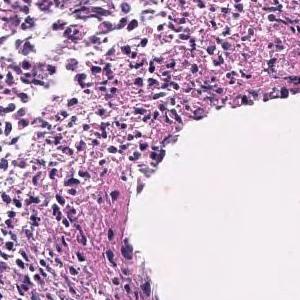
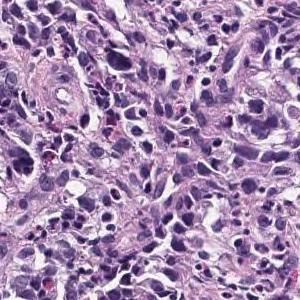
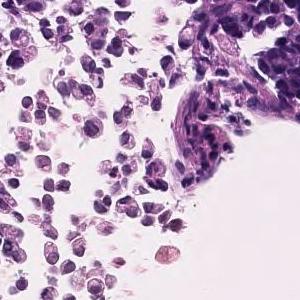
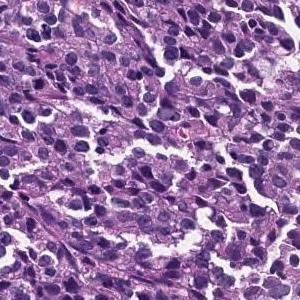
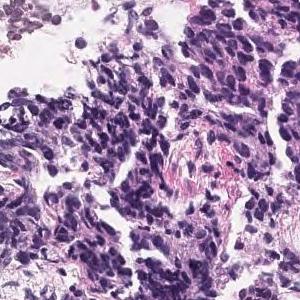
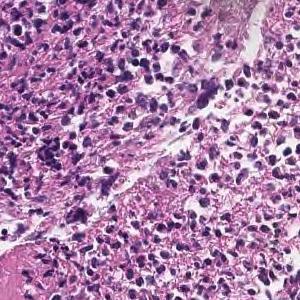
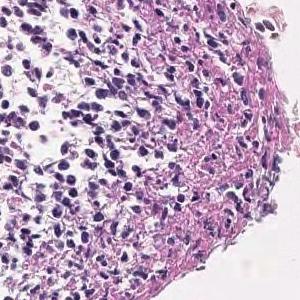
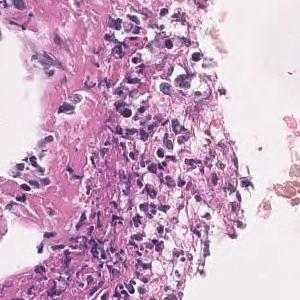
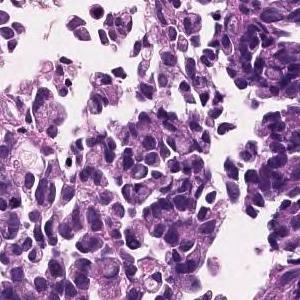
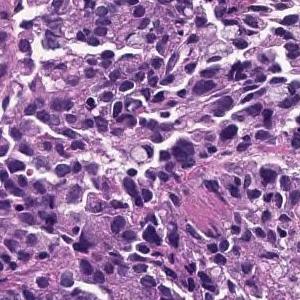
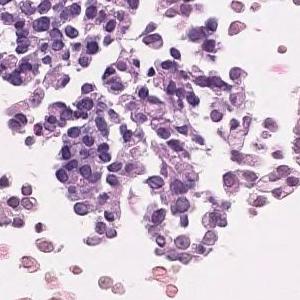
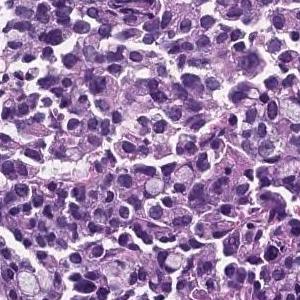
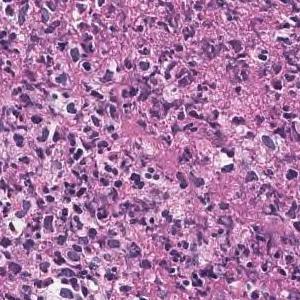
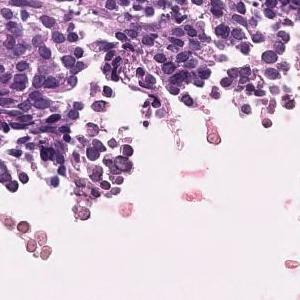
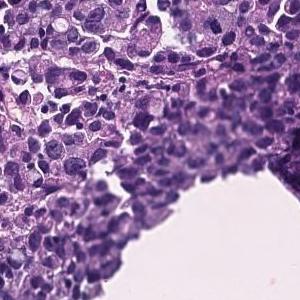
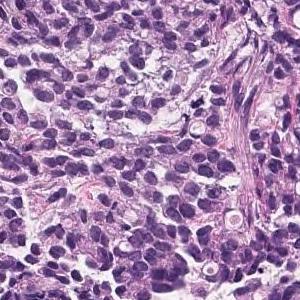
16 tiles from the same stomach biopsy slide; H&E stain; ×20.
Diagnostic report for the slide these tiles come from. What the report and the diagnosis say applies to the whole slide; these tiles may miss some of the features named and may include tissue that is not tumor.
The superficial epithelium shows a large sheet-like shape, and some tumor tissue infiltrates with small irregular ducts. Poorly differentiated adenocarcinoma, solid-type
Classified as poorly differentiated adenocarcinoma, solid type, a category of the Japanese Classification of Gastric Carcinoma; in the WHO 2019 classification it is tubular adenocarcinoma, poorly differentiated.
